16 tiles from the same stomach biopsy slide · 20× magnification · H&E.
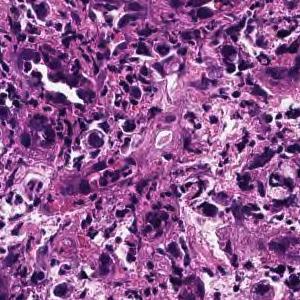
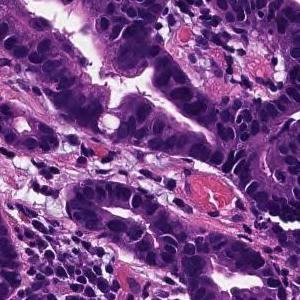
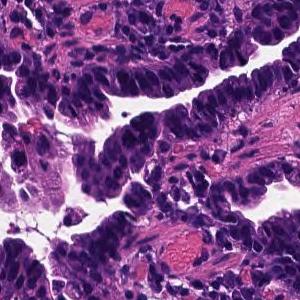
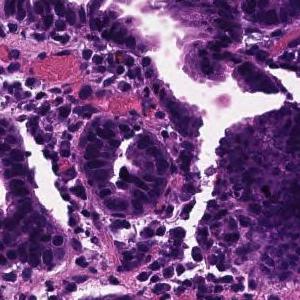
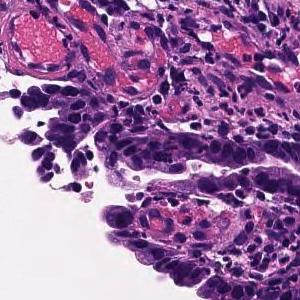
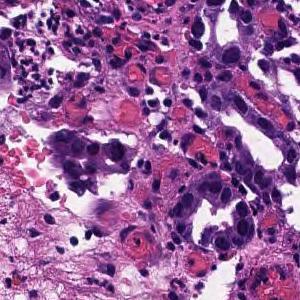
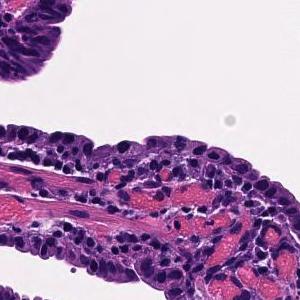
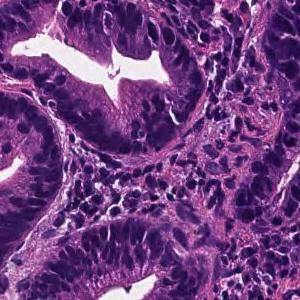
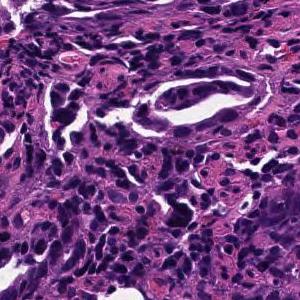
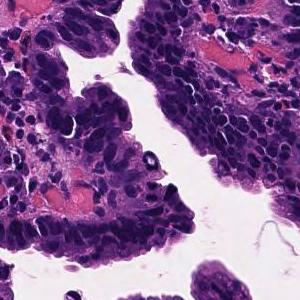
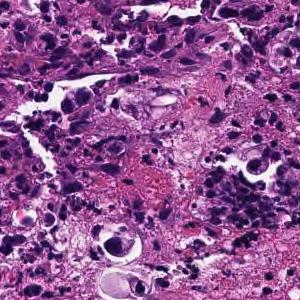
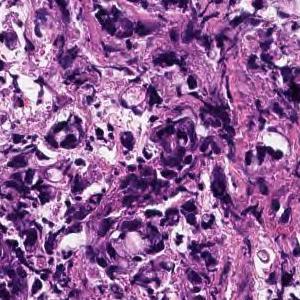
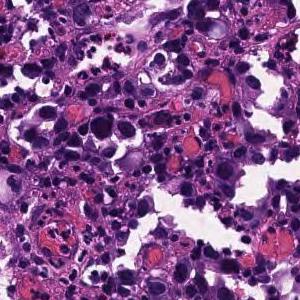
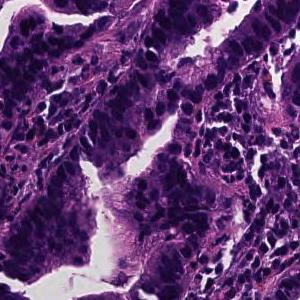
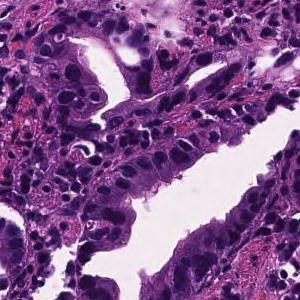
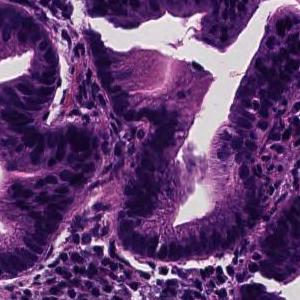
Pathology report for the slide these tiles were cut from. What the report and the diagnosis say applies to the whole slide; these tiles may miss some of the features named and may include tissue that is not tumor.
On the superficial epithelium, tumor tissue that infiltrates by forming medium-sized papillary or small irregular ducts is observed. Papillary adenocarcinoma
